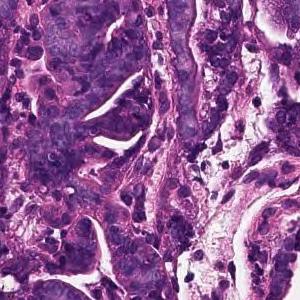
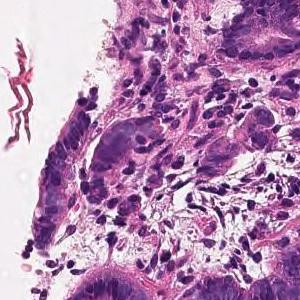
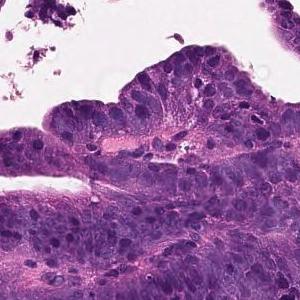
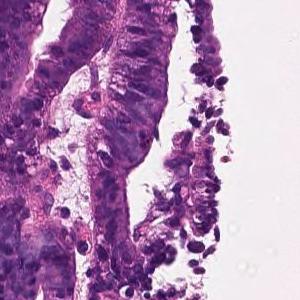
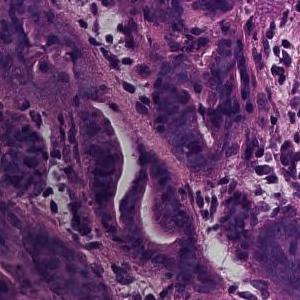
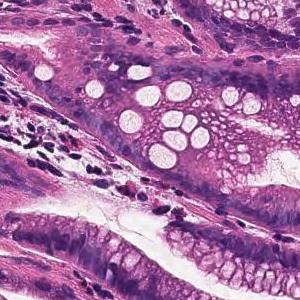
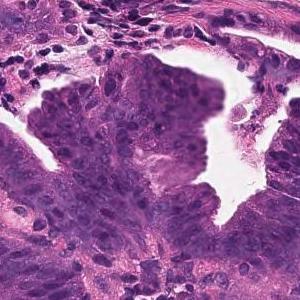
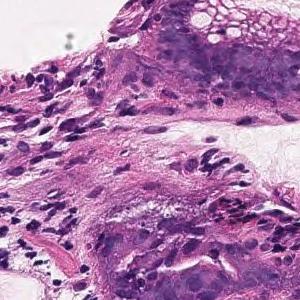
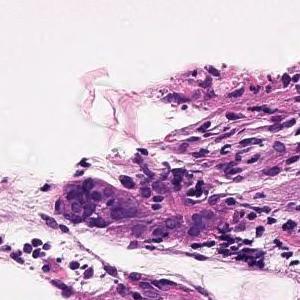
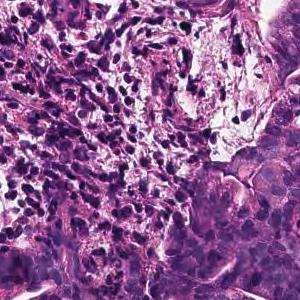
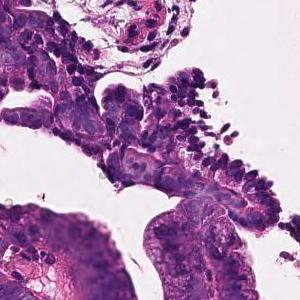
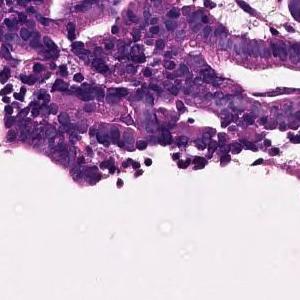
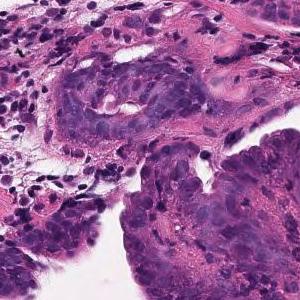
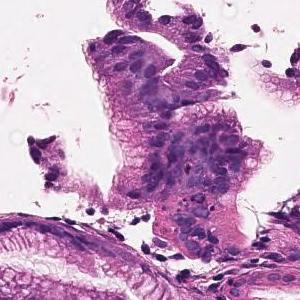
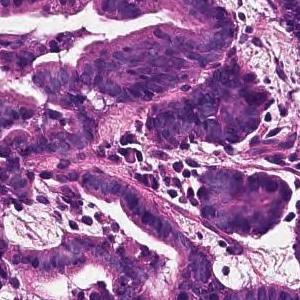
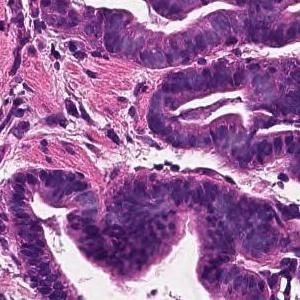
16 patches cut from one gastric biopsy slide · hematoxylin and eosin stain.
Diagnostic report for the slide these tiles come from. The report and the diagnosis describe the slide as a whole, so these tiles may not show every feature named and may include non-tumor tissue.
Tumor cells are large, highly columnar, large club-shaped nuclei, and are associated with chromatin aggregation. Papillary adenocarcinoma.
